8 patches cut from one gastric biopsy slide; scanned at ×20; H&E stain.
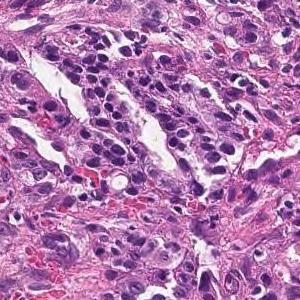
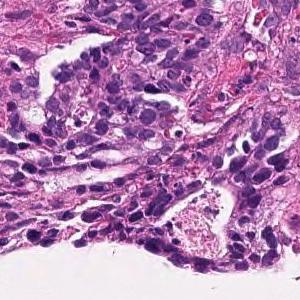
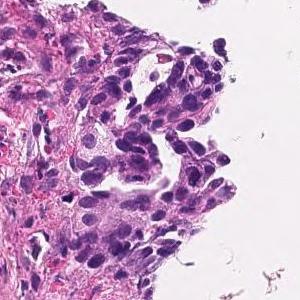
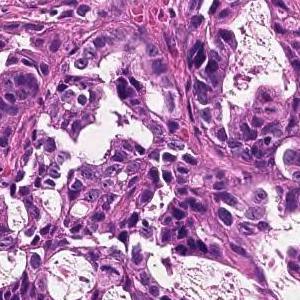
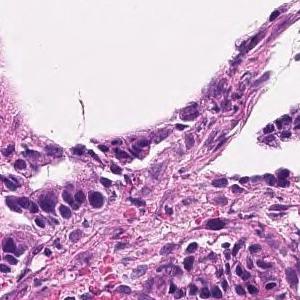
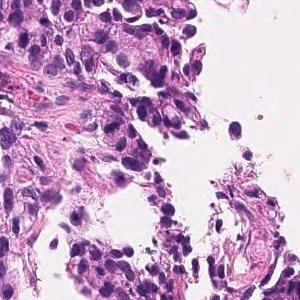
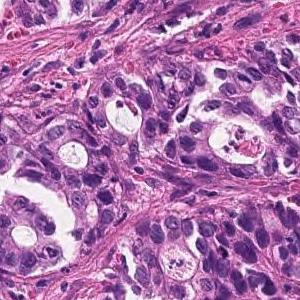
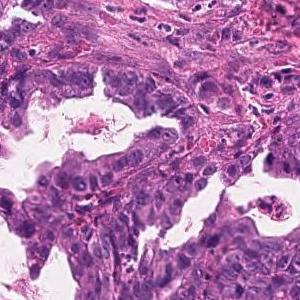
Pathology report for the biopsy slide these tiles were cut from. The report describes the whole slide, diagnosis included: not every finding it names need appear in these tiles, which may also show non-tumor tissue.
On the superficial epithelium, tumor tissue consisting of images of small to medium-sized and irregular tubules infiltrating with irregular fusion is observed. moderately differentiated tubular adenocarcinoma
